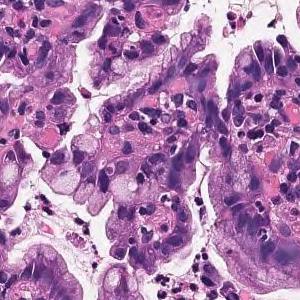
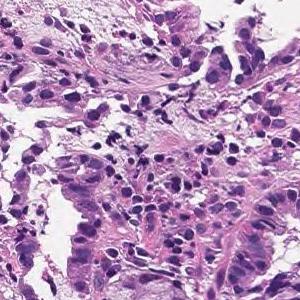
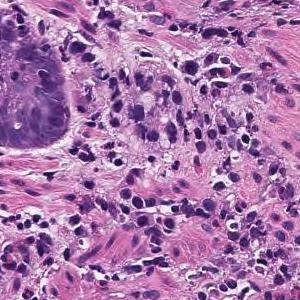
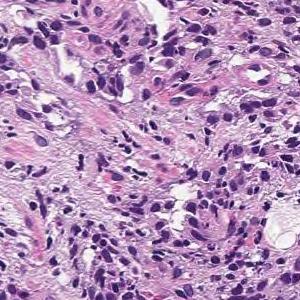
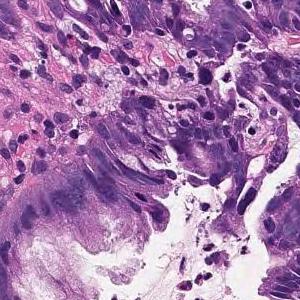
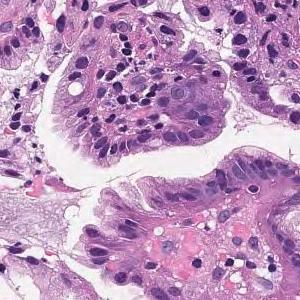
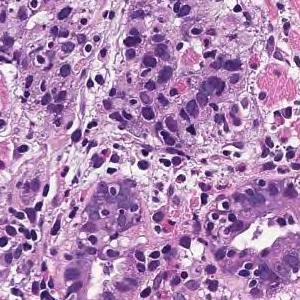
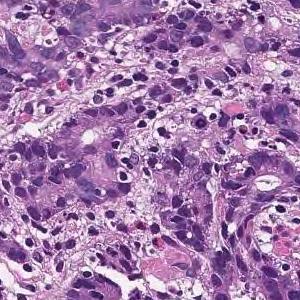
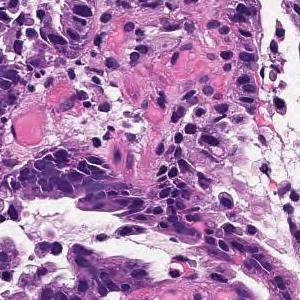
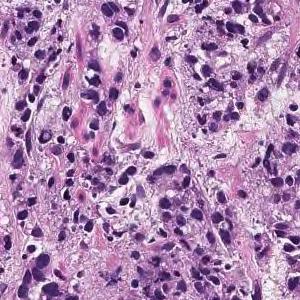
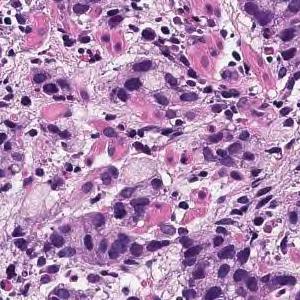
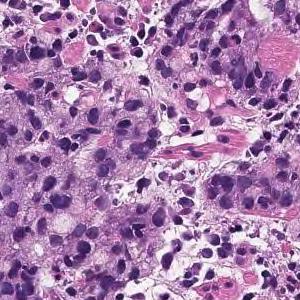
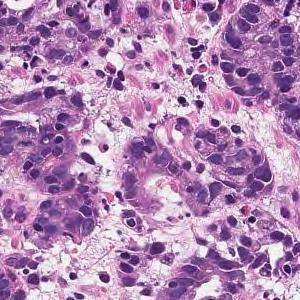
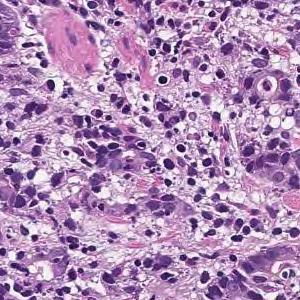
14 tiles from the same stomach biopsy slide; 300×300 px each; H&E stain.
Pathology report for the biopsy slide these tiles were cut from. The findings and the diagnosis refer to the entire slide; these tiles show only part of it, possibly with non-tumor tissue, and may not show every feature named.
Tumor tissue consisting of cord-like or small, irregular glandular ducts fused and infiltrated is observed in the superficial epithelium. Poorly differentiated adenocarcinoma, non-solid type
The non-solid type named here is a Japanese Classification of Gastric Carcinoma category.
